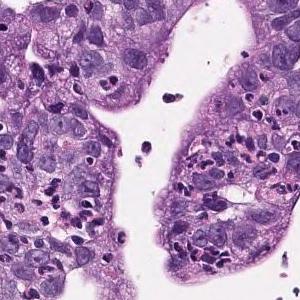
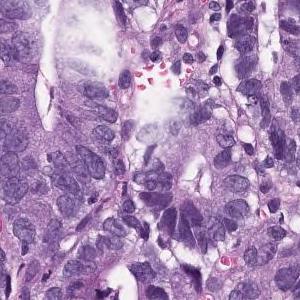
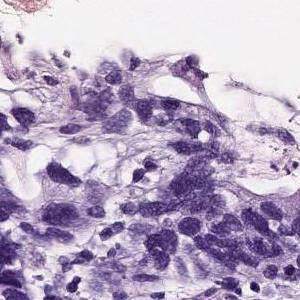
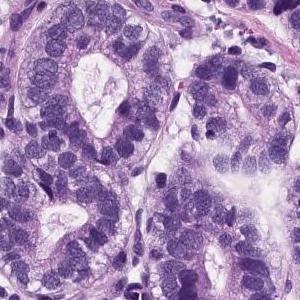
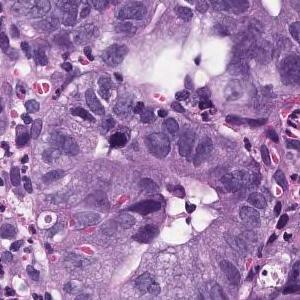
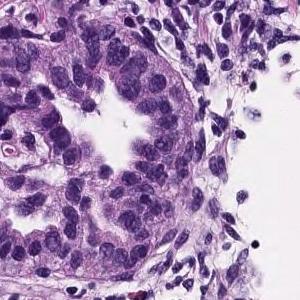
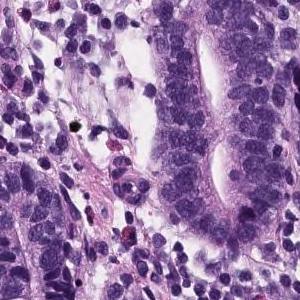
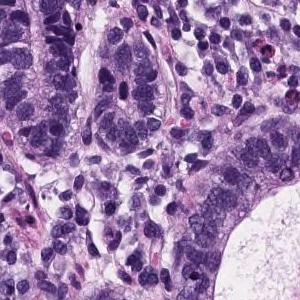
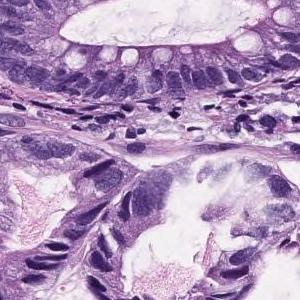
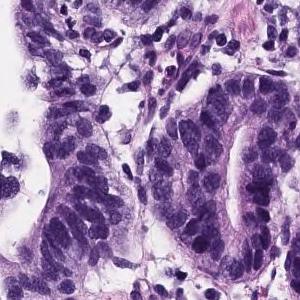
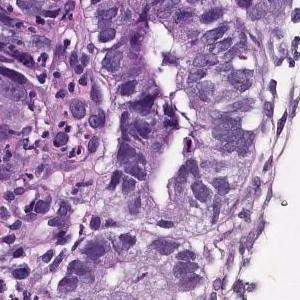
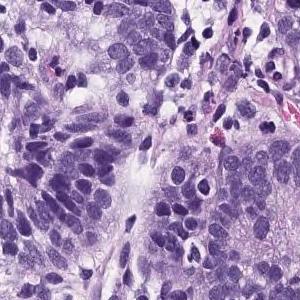
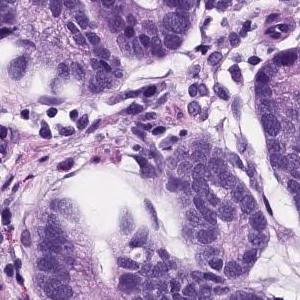
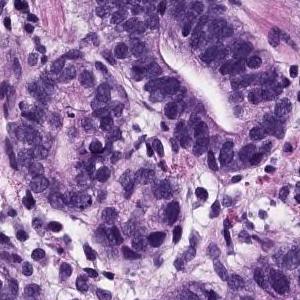
H&E stain; 14 patches cut from one gastric biopsy slide.
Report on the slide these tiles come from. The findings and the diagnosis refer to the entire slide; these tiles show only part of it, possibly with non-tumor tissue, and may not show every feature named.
On the superficial epithelium, tumor tissue consisting of large, irregular glandular ducts partially fused and infiltrated is observed. Well to moderately differentiated tubular adenocarcinoma (well differentiated tubular adenocarcinoma, moderately differentiated tubular adenocarcinoma)
Labeled in the dataset as well differentiated tubular adenocarcinoma.
